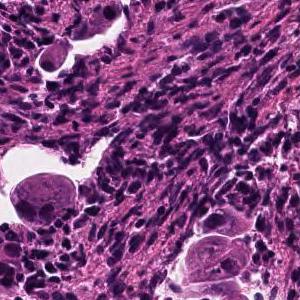
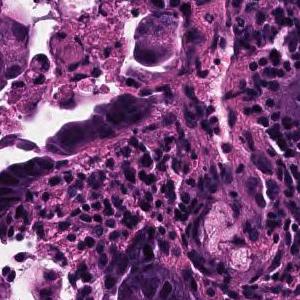
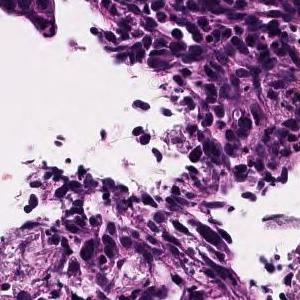
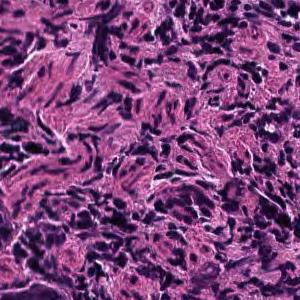
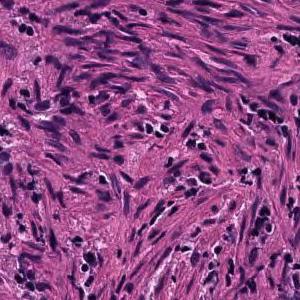
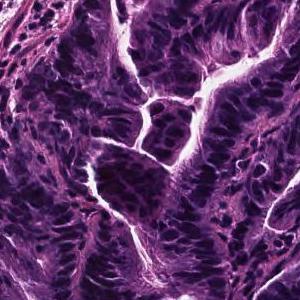
×20, 6 image tiles from a single gastric biopsy slide.
Diagnostic report for the slide these tiles come from. Both the report and the diagnosis are for the whole slide: these tiles need not show every feature named, and some of the tissue shown may not be tumor.
On the superficial epithelium, tumor tissue consisting of large, irregular glandular ducts partially fused and infiltrated is observed. Well to moderately differentiated tubular adenocarcinoma (well differentiated tubular adenocarcinoma, moderately differentiated tubular adenocarcinoma)
Histologic type: Well to moderately differentiated tubular adenocarcinoma.
